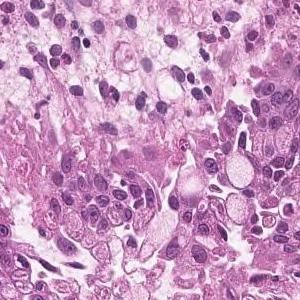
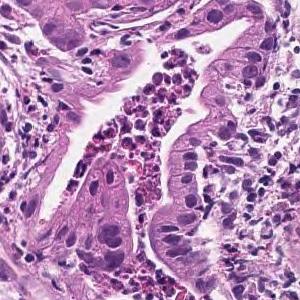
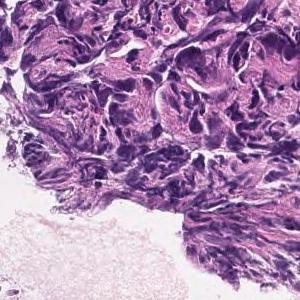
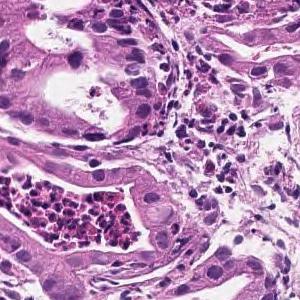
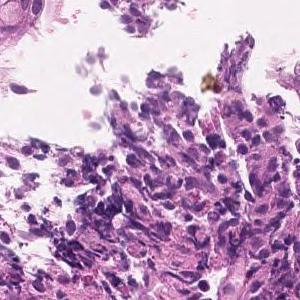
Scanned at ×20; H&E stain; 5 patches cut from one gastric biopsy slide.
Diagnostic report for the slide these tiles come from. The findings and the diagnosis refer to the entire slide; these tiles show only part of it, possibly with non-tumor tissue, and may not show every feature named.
In the superficial epithelium, tumor tissue that invades by forming medium-sized to small, irregular ducts is observed. moderately differentiated tubular adenocarcinoma.
